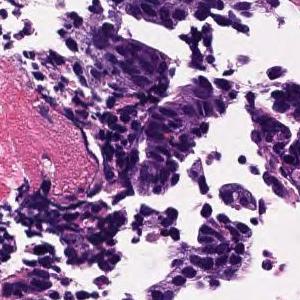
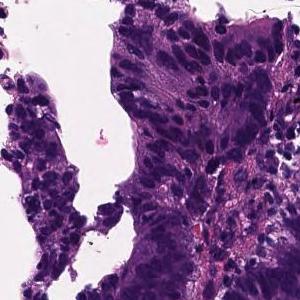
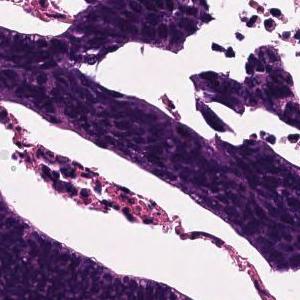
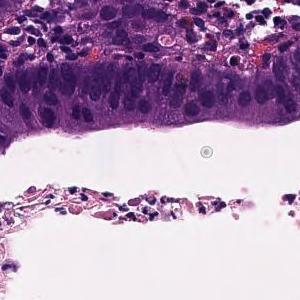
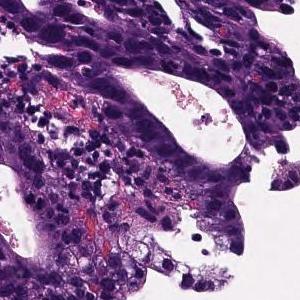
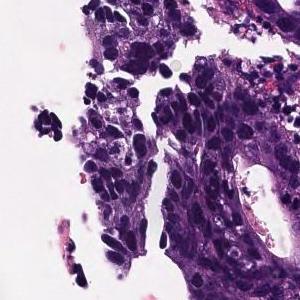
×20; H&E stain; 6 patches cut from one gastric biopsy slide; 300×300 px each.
Diagnostic report for the slide these tiles come from. The findings and the diagnosis refer to the entire slide; these tiles show only part of it, possibly with non-tumor tissue, and may not show every feature named.
In the superficial epithelium, tumor tissue that invades by forming medium-sized to small, irregular ducts is observed. moderately differentiated tubular adenocarcinoma.
